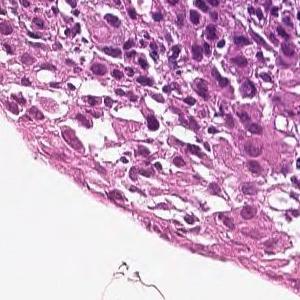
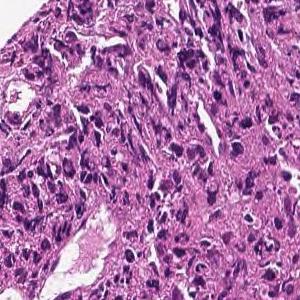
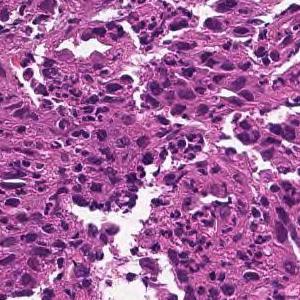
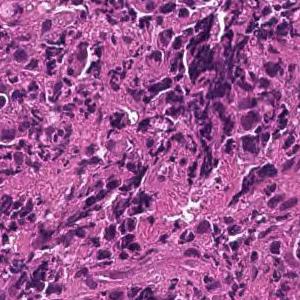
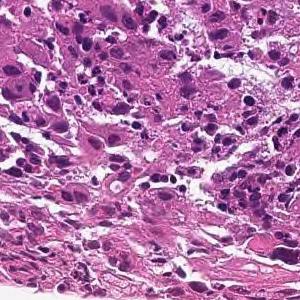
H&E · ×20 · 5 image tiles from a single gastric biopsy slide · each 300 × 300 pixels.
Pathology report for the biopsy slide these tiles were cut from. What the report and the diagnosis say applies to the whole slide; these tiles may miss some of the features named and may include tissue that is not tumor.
The superficial epithelium shows a large sheet-like shape, and some tumor tissue infiltrates with small irregular ducts. Poorly differentiated adenocarcinoma, solid-type
Tumor subtype: poorly differentiated adenocarcinoma, solid type. This name comes from the Japanese Classification of Gastric Carcinoma; the WHO 2019 classification calls it tubular adenocarcinoma, poorly differentiated.
